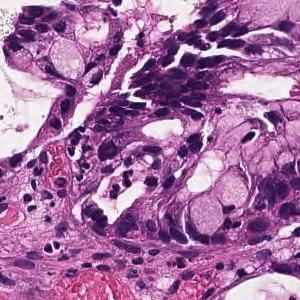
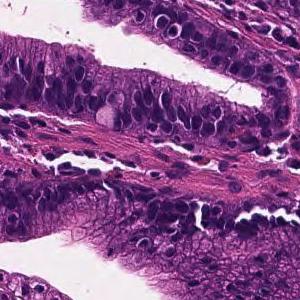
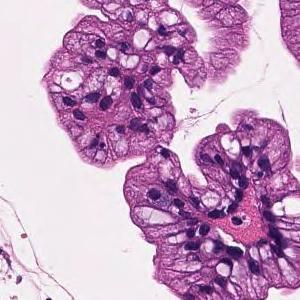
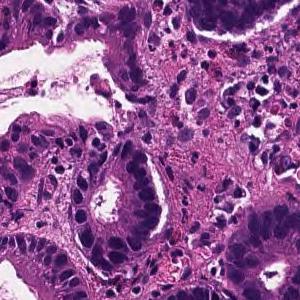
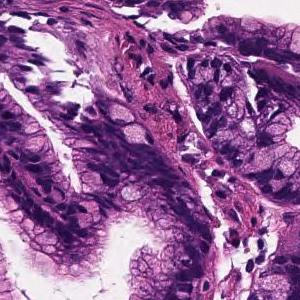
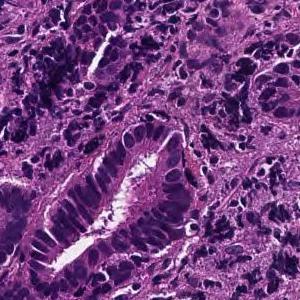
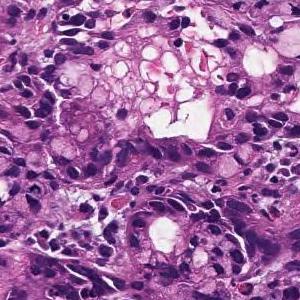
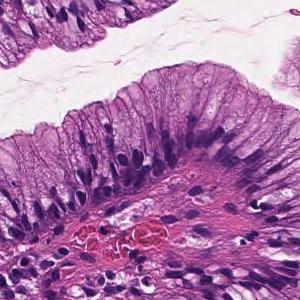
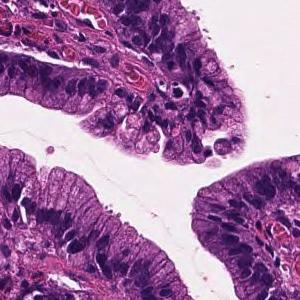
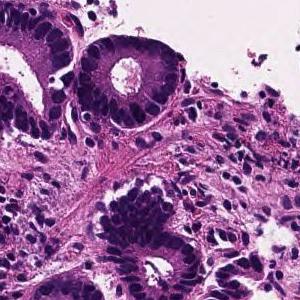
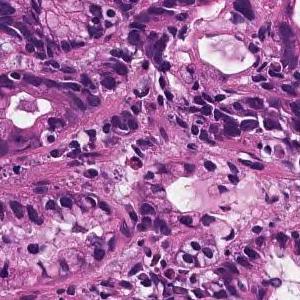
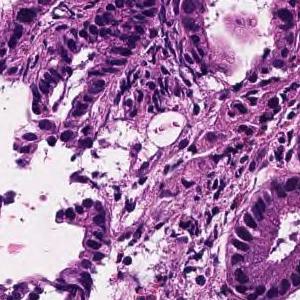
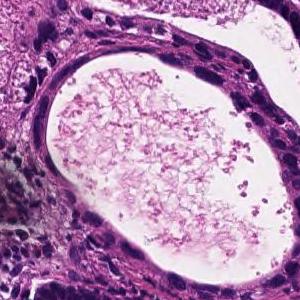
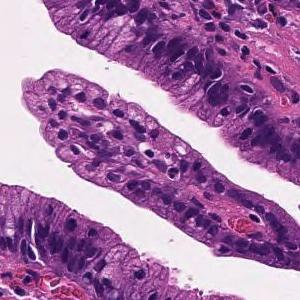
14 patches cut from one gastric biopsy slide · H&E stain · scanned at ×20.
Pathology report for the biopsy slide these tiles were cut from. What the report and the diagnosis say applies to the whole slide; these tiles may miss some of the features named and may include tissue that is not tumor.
On the superficial epithelium, tumor tissue consisting of medium-sized and irregular glandular ducts partially fused and infiltrated is observed. Well to moderately differentiated tubular adenocarcinoma (well differentiated tubular adenocarcinoma-moderately differentiated tubular adenocarcinoma)
Tumor subtype: well to moderately differentiated tubular adenocarcinoma.
